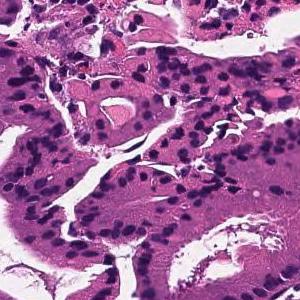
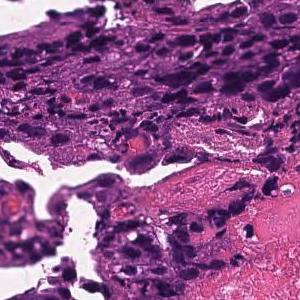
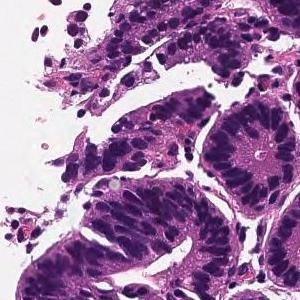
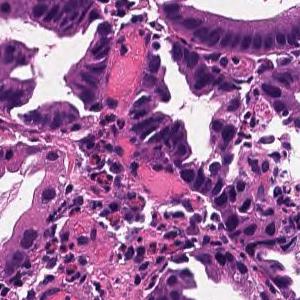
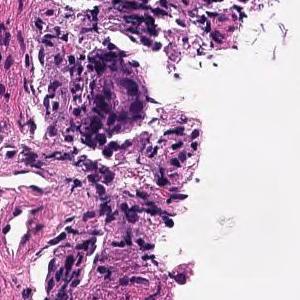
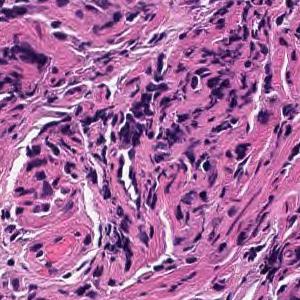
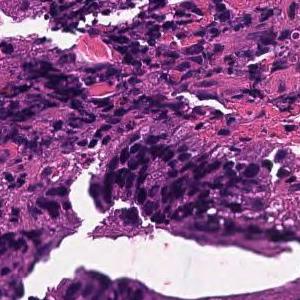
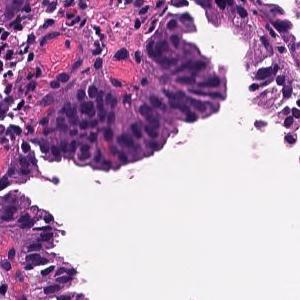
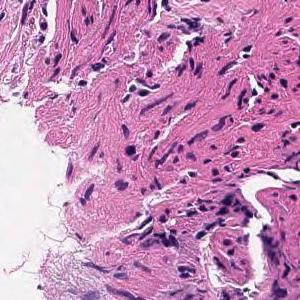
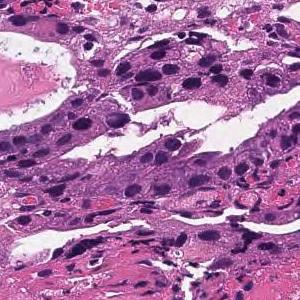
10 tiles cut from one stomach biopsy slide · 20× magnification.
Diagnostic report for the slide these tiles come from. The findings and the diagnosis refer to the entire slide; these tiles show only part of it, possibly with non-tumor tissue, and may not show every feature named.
Tumor cells are large, highly columnar, large club-shaped nuclei, and are associated with chromatin aggregation. Papillary adenocarcinoma.
